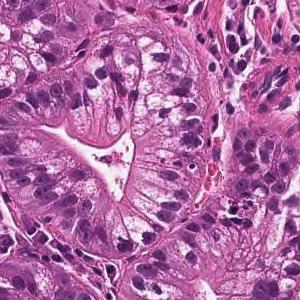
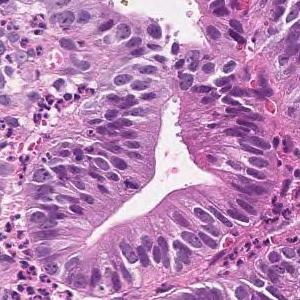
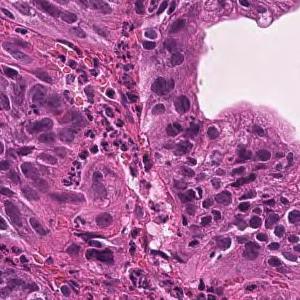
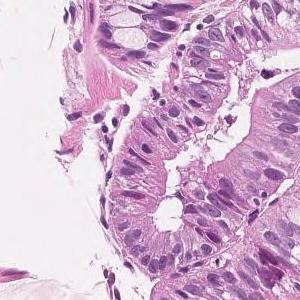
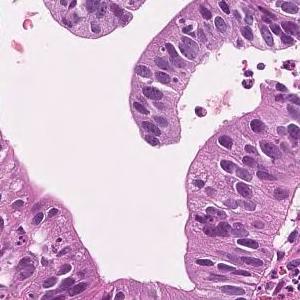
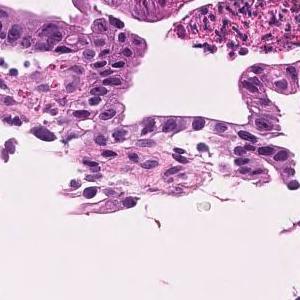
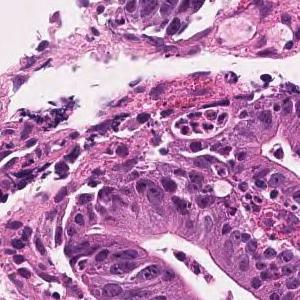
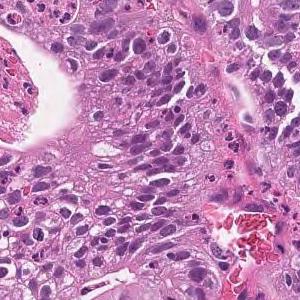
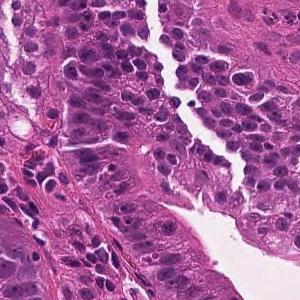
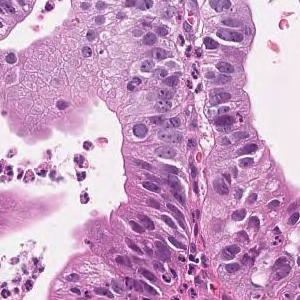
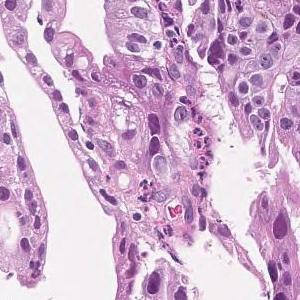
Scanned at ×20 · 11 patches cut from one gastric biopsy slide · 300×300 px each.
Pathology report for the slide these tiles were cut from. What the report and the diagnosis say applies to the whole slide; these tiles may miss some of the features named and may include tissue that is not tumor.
Tumor cells are large, highly columnar, large club-shaped nuclei, and are associated with chromatin aggregation. Papillary adenocarcinoma.
